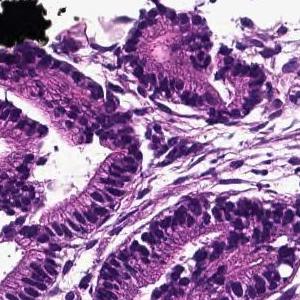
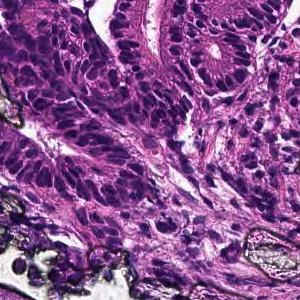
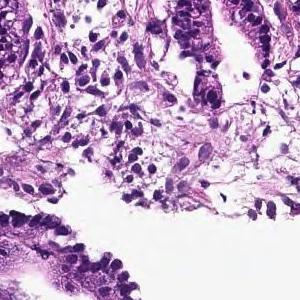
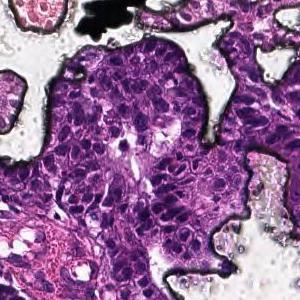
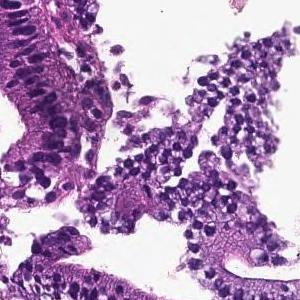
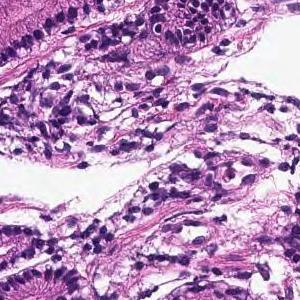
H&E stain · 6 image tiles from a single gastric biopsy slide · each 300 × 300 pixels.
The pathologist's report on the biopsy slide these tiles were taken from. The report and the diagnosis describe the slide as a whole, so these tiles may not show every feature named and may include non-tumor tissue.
On the superficial epithelium, tumor tissue that infiltrates by forming medium-sized round or small irregular ducts is observed. Papillary adenocarcinoma
